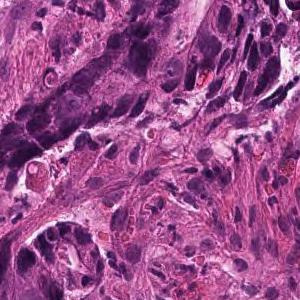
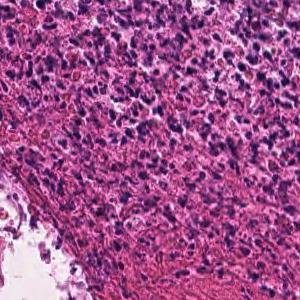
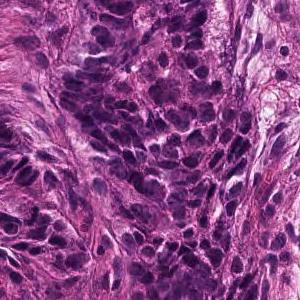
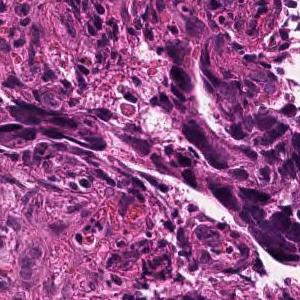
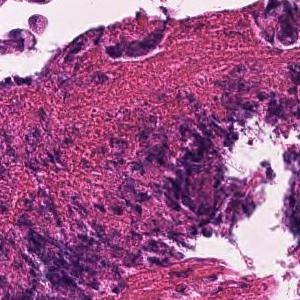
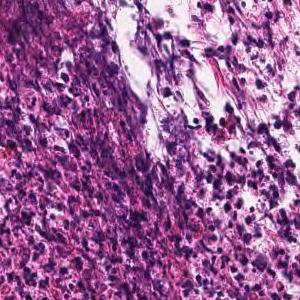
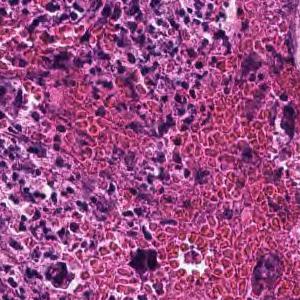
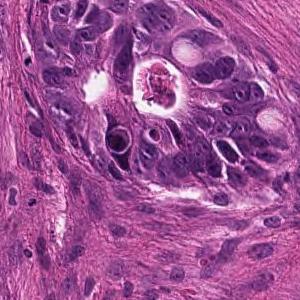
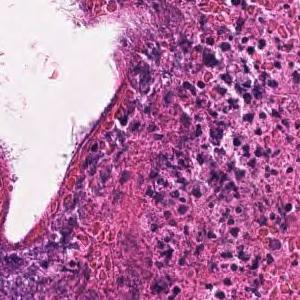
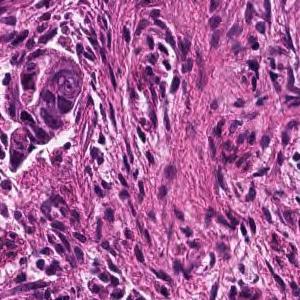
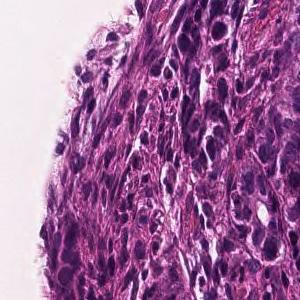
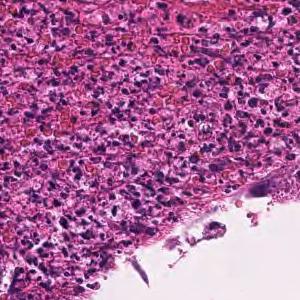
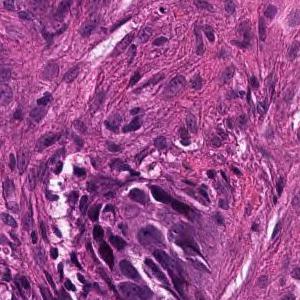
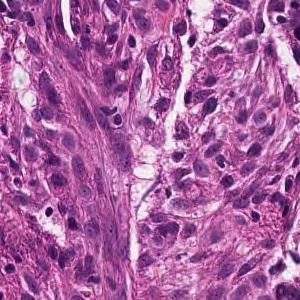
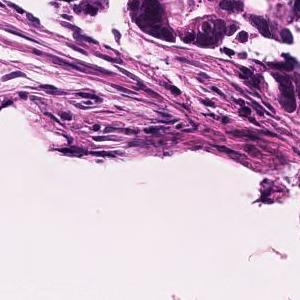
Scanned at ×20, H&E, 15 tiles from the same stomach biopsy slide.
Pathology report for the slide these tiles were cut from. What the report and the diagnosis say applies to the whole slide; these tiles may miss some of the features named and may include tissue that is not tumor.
In the superficial epithelium, tumor tissue that invades by forming medium-sized to small, irregular ducts is observed. moderately differentiated tubular adenocarcinoma.
